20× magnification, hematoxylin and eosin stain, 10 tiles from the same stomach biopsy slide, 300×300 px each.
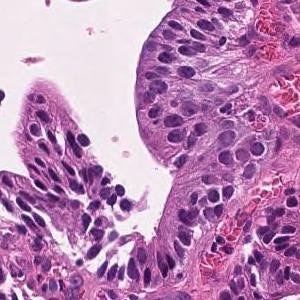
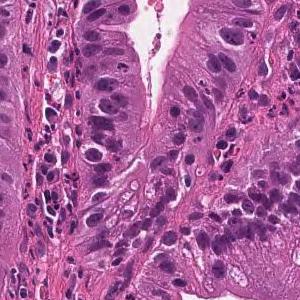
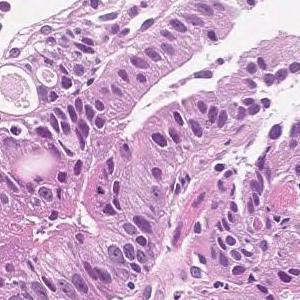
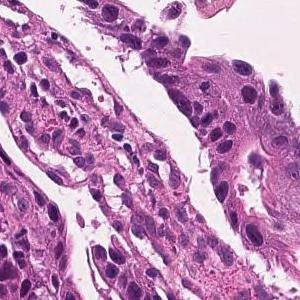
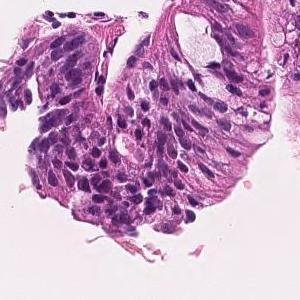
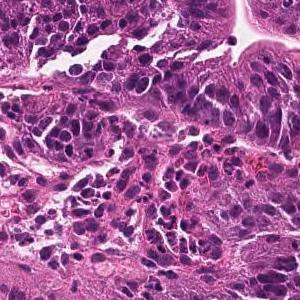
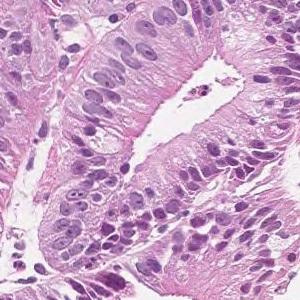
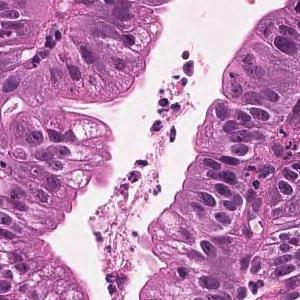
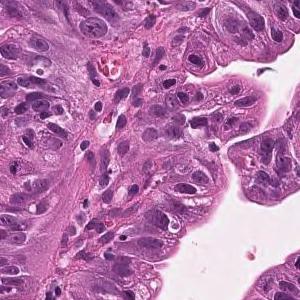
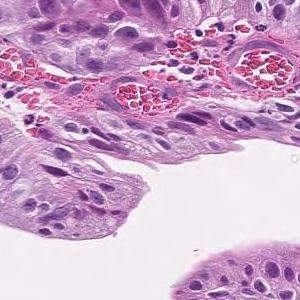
Pathology report for the biopsy slide these tiles were cut from. The report and the diagnosis describe the slide as a whole, so these tiles may not show every feature named and may include non-tumor tissue.
Tumor cells are large, highly columnar, large club-shaped nuclei, and are associated with chromatin aggregation. Papillary adenocarcinoma.
